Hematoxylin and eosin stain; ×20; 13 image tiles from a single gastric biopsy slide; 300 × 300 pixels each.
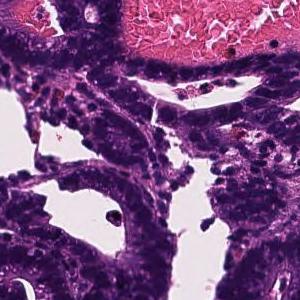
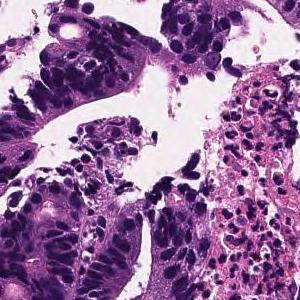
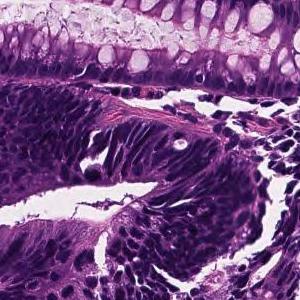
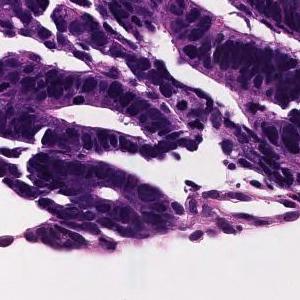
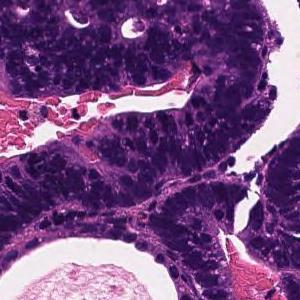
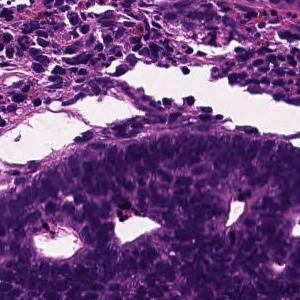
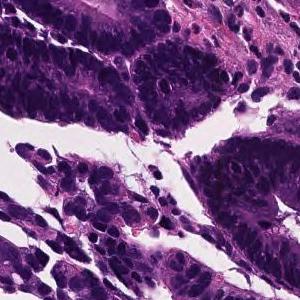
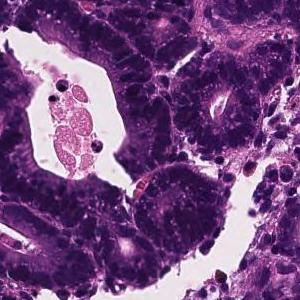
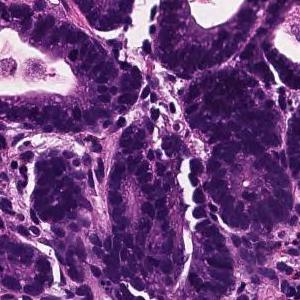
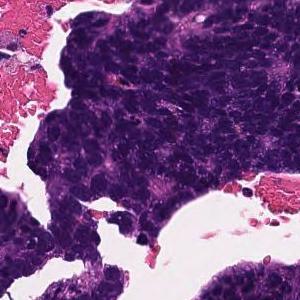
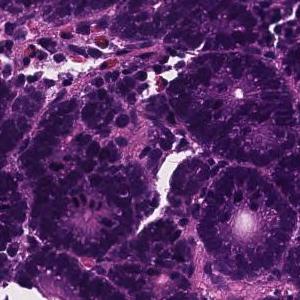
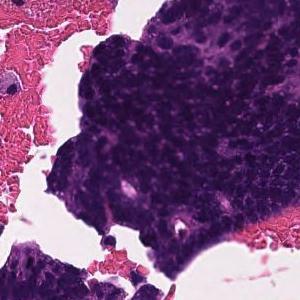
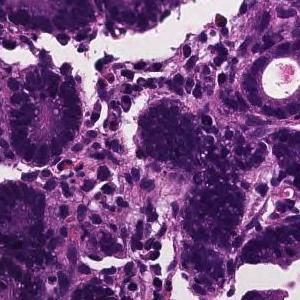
Report on the slide these tiles come from. The findings and the diagnosis refer to the entire slide; these tiles show only part of it, possibly with non-tumor tissue, and may not show every feature named.
On the superficial epithelium, tumor tissue consisting of medium-sized and irregular glandular ducts partially fused and infiltrated is observed. Well to moderately differentiated tubular adenocarcinoma (well differentiated tubular adenocarcinoma, moderately differentiated tubular adenocarcinoma)
Classified as well to moderately differentiated tubular adenocarcinoma.
